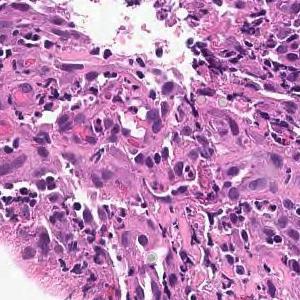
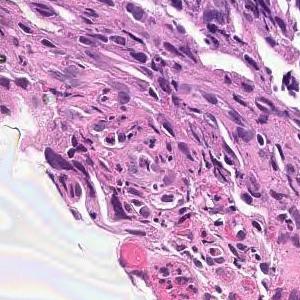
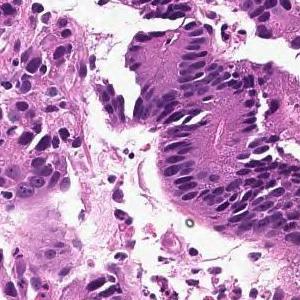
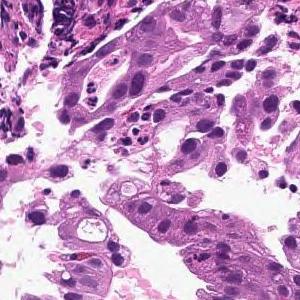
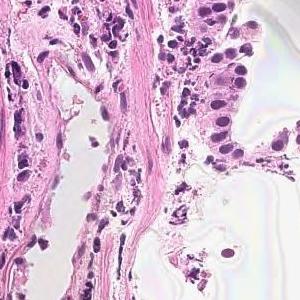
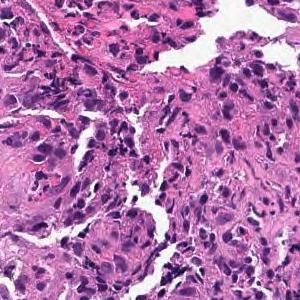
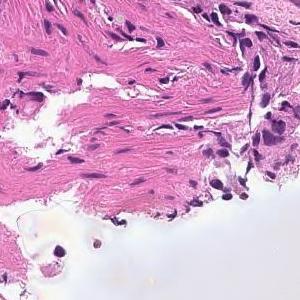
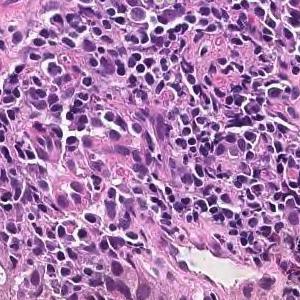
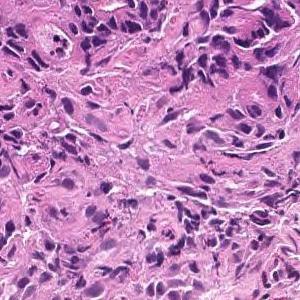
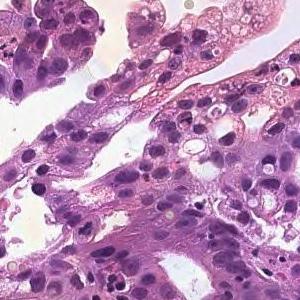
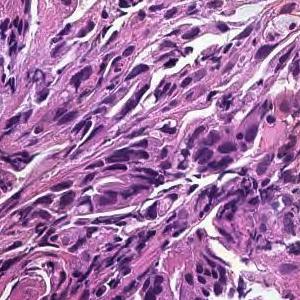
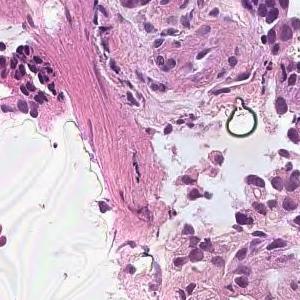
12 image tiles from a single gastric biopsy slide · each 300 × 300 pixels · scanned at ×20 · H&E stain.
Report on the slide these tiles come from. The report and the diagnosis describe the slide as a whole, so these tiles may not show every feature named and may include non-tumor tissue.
On the superficial epithelium, tumor tissue consisting of large irregular glandular ducts partially fused and infiltrated is observed. Well to moderately differentiated tubular adenocarcinoma (well differentiated tubular adenocarcinoma, moderately differentiated tubular adenocarcinoma)
Histologic type: Well to moderately differentiated tubular adenocarcinoma.
